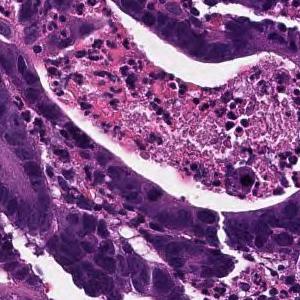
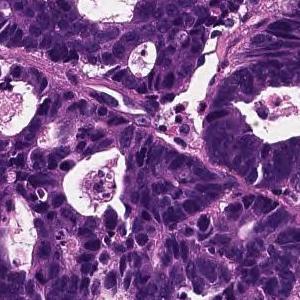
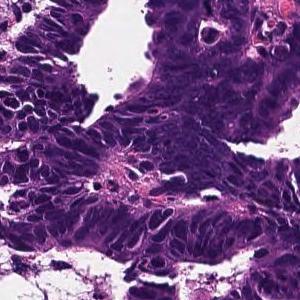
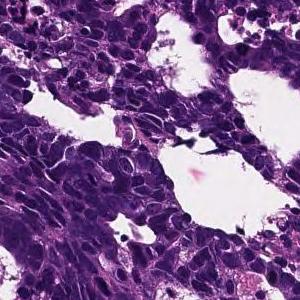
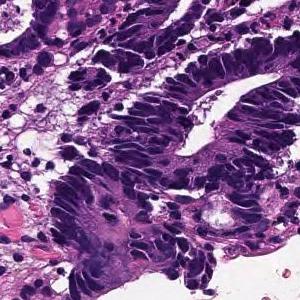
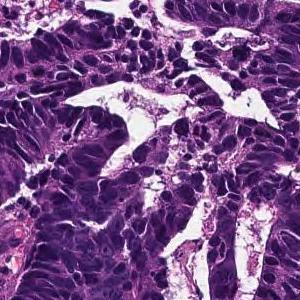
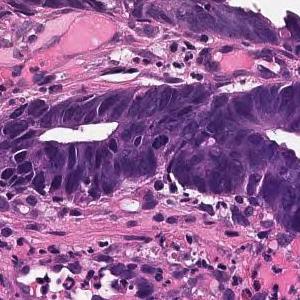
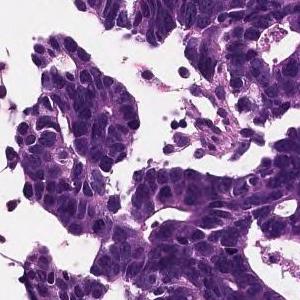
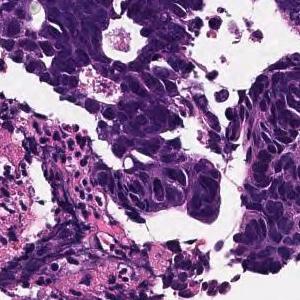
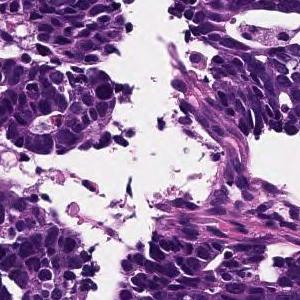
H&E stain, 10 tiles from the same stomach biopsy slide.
Diagnostic report for the slide these tiles come from. The report and the diagnosis describe the slide as a whole, so these tiles may not show every feature named and may include non-tumor tissue.
In the superficial epithelium, tumor tissue that invades by forming medium-sized to small, irregular ducts is observed. moderately differentiated tubular adenocarcinoma.
